20× magnification; H&E; 15 tiles cut from one stomach biopsy slide.
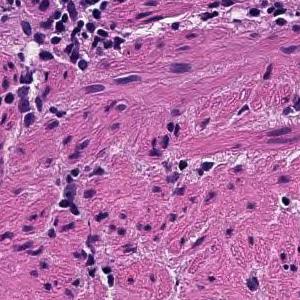
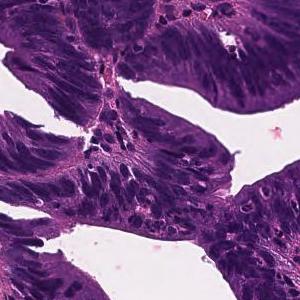
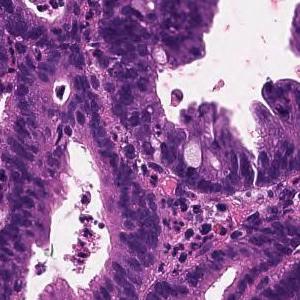
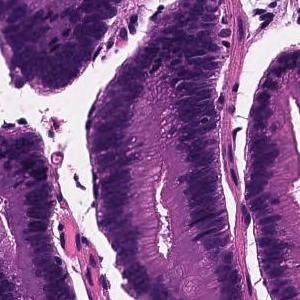
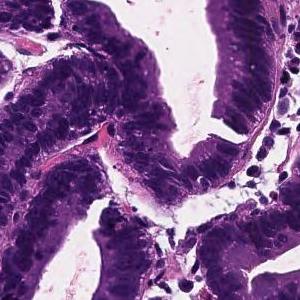
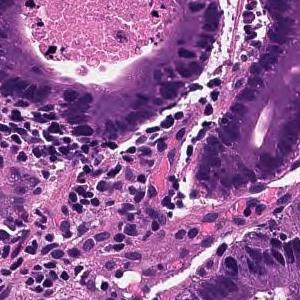
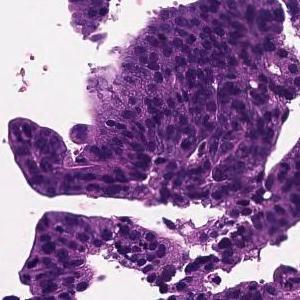
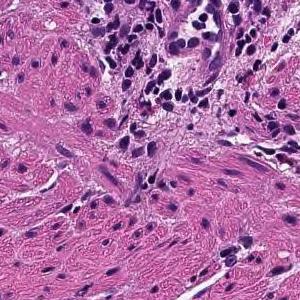
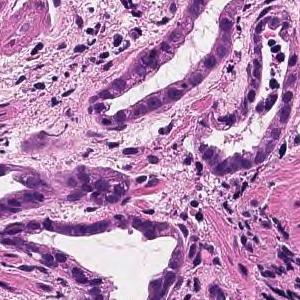
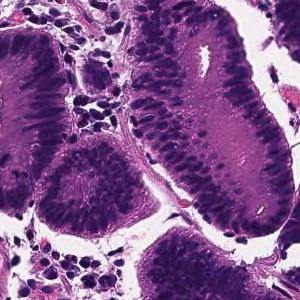
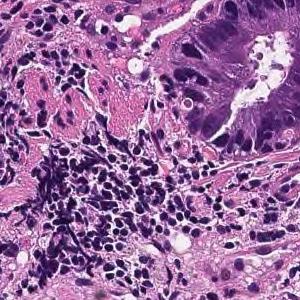
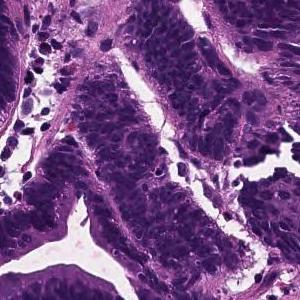
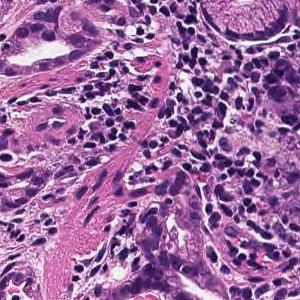
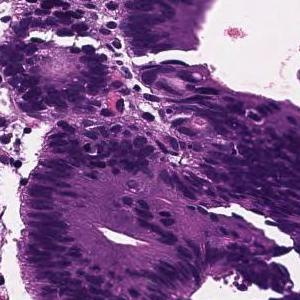
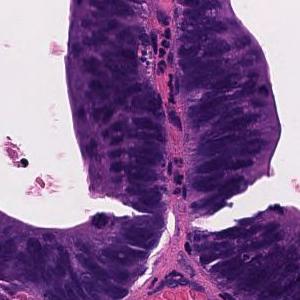
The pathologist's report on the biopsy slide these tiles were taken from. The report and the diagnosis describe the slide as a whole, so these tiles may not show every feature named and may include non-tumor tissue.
Tumor tissue consisting of large papillary structures is found in the superficial epithelium. Papillary adenocarcinoma.
